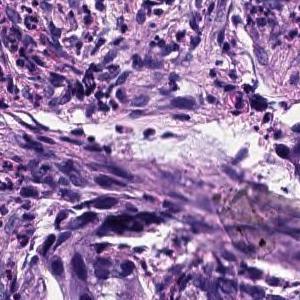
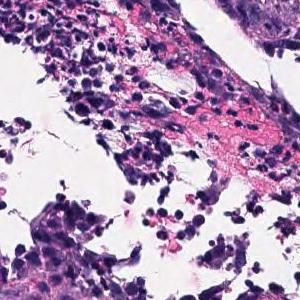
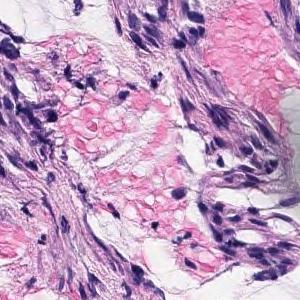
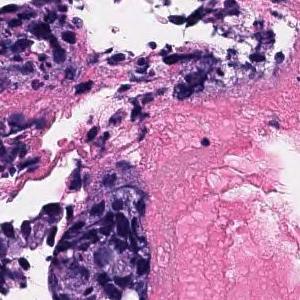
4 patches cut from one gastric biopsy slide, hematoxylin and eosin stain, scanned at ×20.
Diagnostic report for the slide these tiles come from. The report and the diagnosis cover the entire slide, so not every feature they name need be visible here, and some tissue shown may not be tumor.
The superficial epithelium shows small cord-like infiltrating tumor tissue. Some part of neoplastic cells are signet ring cell type which show single invasion manner. Poorly differentiated adenocarcinoma, non-solid type.
"Non-solid type" is a category of the Japanese Classification of Gastric Carcinoma.
